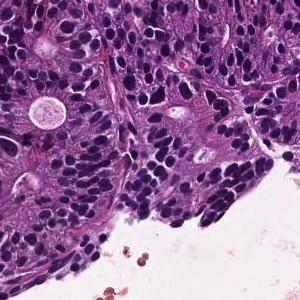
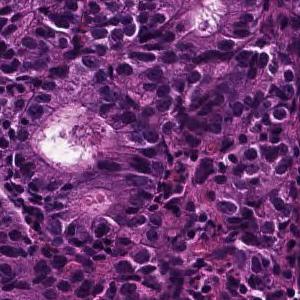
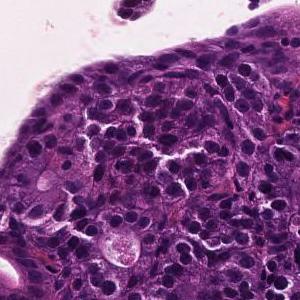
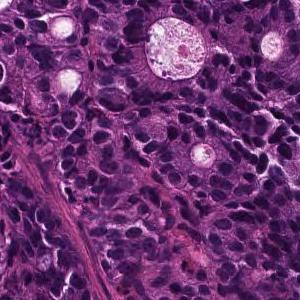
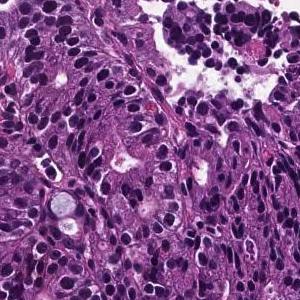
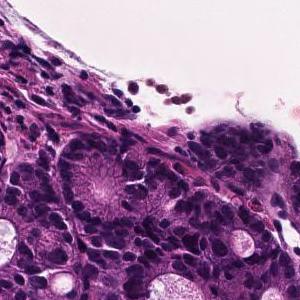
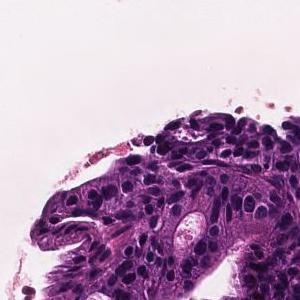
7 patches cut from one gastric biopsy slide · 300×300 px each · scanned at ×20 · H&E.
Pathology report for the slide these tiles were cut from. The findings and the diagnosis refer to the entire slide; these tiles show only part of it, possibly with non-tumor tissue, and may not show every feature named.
In the superficial epithelium, tumor tissue that invades by forming medium-sized to small, irregular ducts is observed. moderately differentiated tubular adenocarcinoma.
